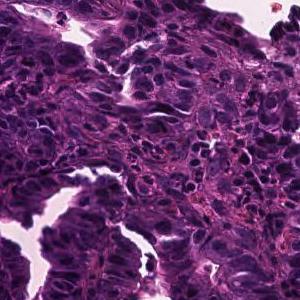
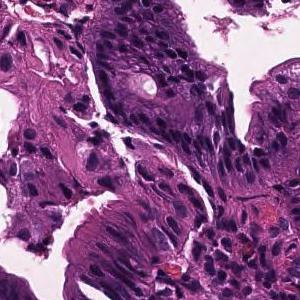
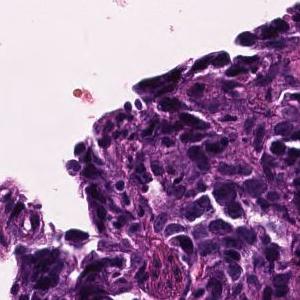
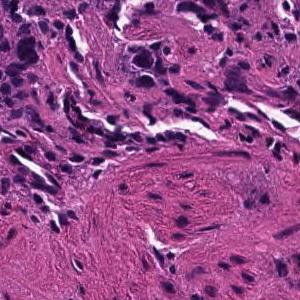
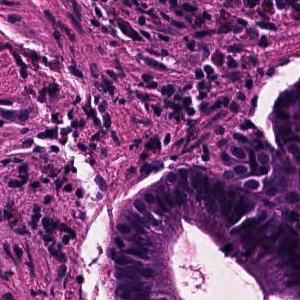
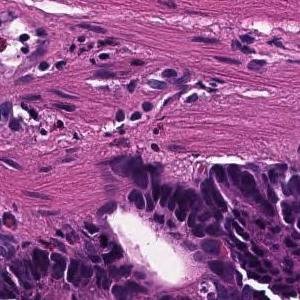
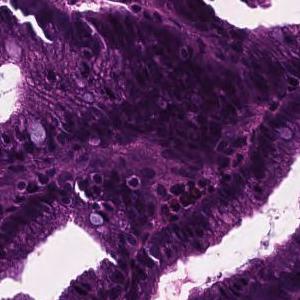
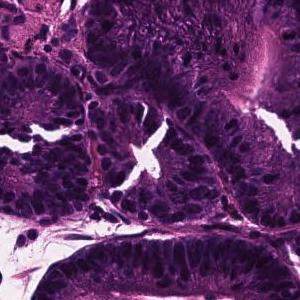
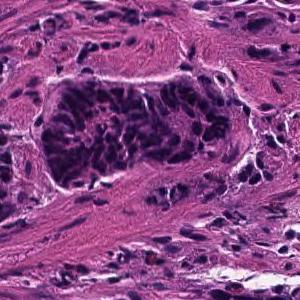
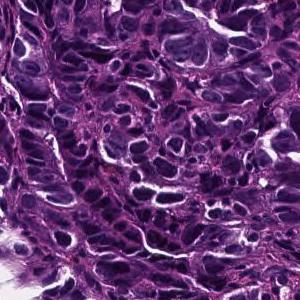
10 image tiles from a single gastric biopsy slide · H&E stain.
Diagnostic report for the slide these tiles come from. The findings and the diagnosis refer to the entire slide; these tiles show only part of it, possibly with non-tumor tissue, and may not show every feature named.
In the superficial epithelium, tumor tissue that invades by forming medium-sized to small, irregular ducts is observed. moderately differentiated tubular adenocarcinoma.
